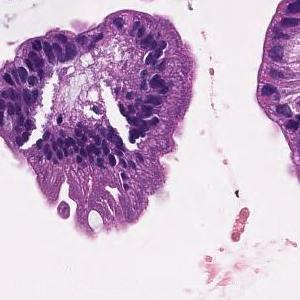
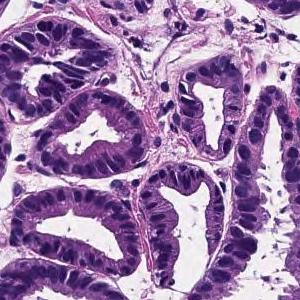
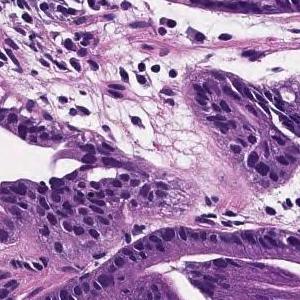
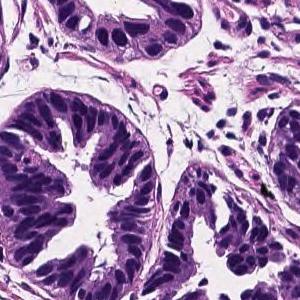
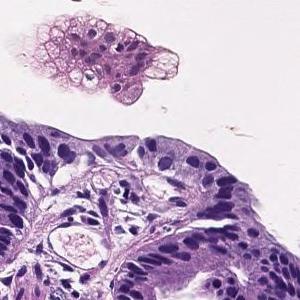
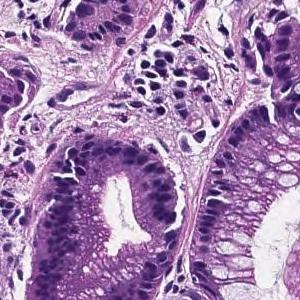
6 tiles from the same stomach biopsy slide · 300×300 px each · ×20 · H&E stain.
Report on the slide these tiles come from. The findings and the diagnosis refer to the entire slide; these tiles show only part of it, possibly with non-tumor tissue, and may not show every feature named.
Tumor cells are large, highly columnar, large club-shaped nuclei, and are associated with chromatin aggregation. Papillary adenocarcinoma.
